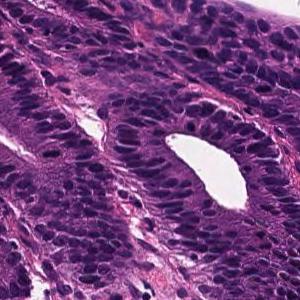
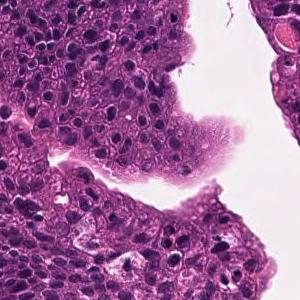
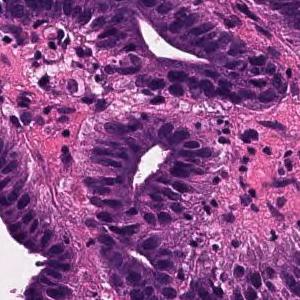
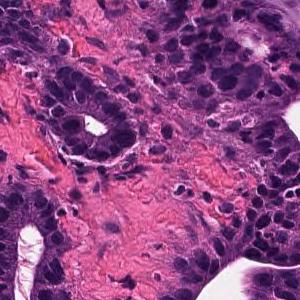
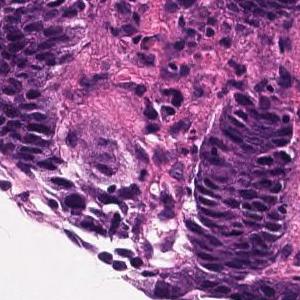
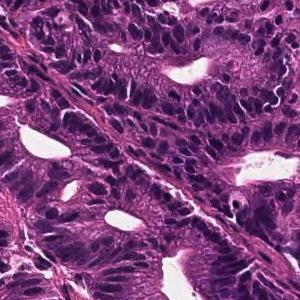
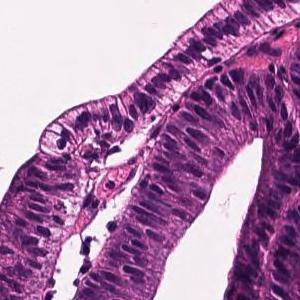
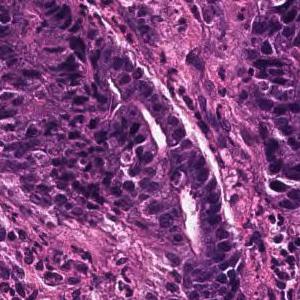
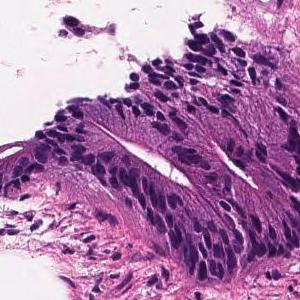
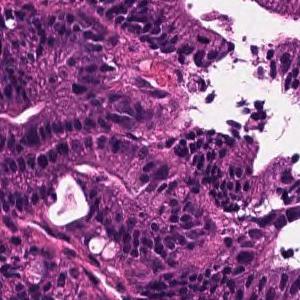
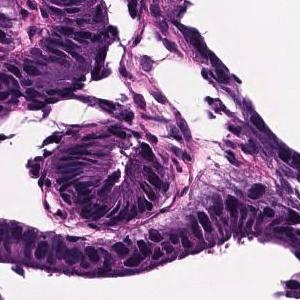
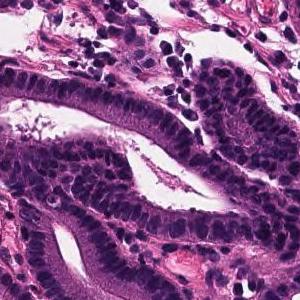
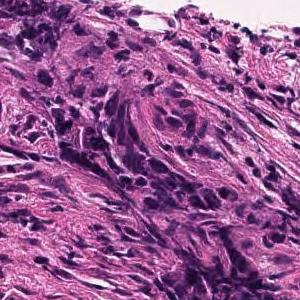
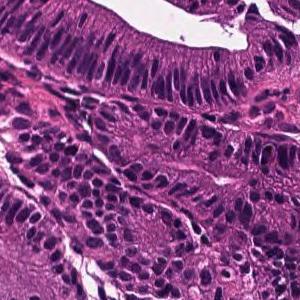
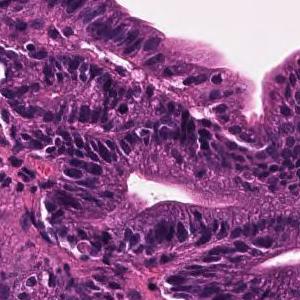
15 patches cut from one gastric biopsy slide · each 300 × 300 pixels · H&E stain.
Diagnostic report for the slide these tiles come from. The report and the diagnosis describe the slide as a whole, so these tiles may not show every feature named and may include non-tumor tissue.
Tumor tissue that remains within the superficial epithelium and is infiltrated by large papillary or irregular ducts that fuse with each other is observed. Well differentiated tubular adenocarcinoma
